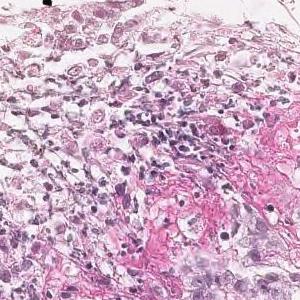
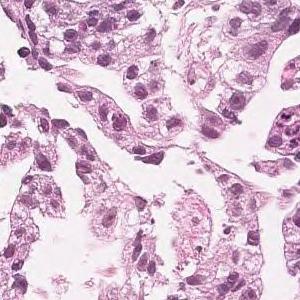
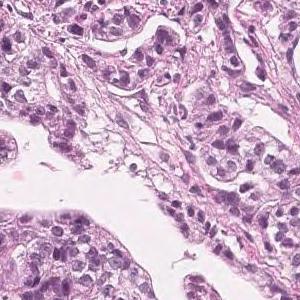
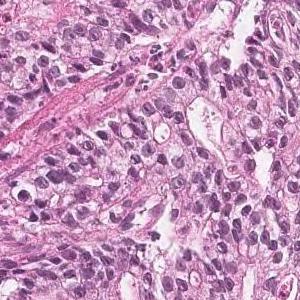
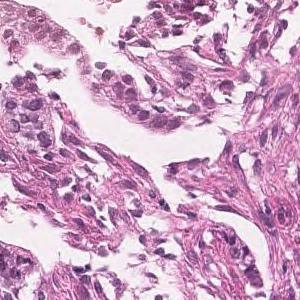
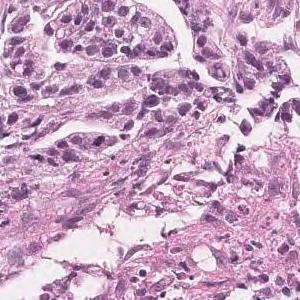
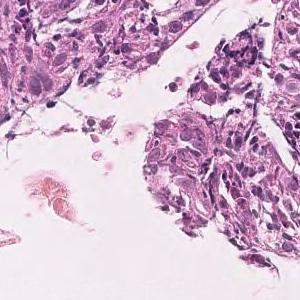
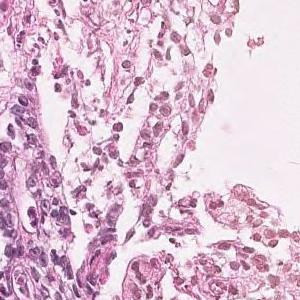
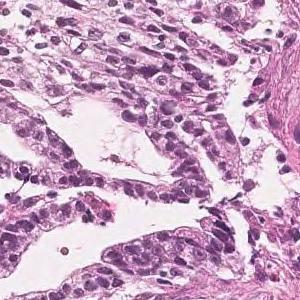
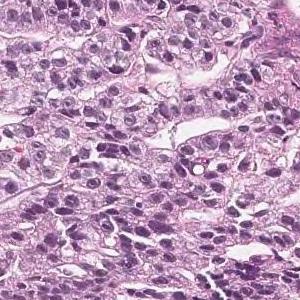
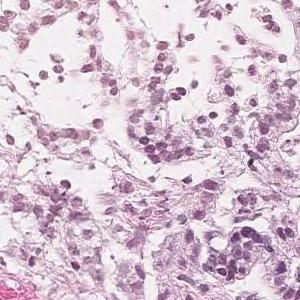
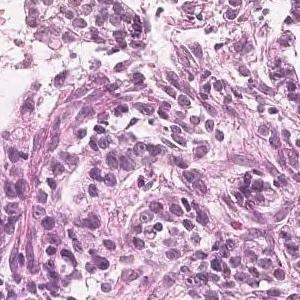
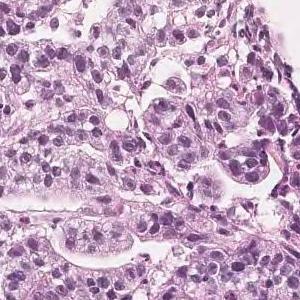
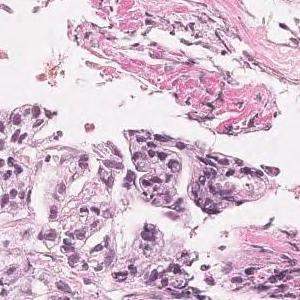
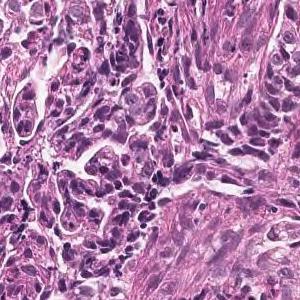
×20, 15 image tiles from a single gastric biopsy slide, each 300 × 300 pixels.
The pathologist's report on the biopsy slide these tiles were taken from. Both the report and the diagnosis are for the whole slide: these tiles need not show every feature named, and some of the tissue shown may not be tumor.
Tumor tissue in which highly columnar atypical epithelial cells with nuclear enlargement and increased nuclear chromatin show papillary to papillary ductal structure and proliferate is observed. Papillary adenocarcinoma.
